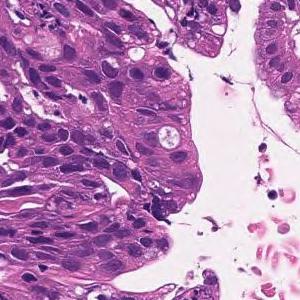
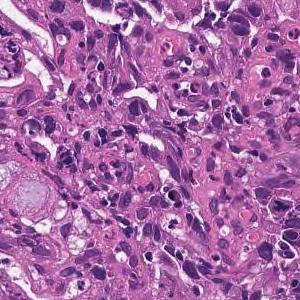
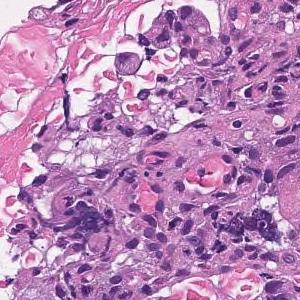
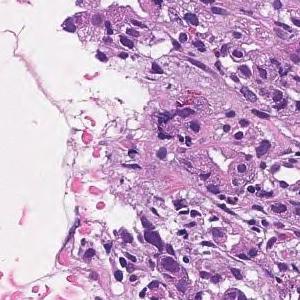
4 image tiles from a single gastric biopsy slide, H&E stain.
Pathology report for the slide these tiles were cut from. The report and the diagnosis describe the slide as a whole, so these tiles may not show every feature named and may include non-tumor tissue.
In the superficial epithelium, tumor tissue that invades by forming medium-sized to small, irregular ducts is observed. moderately differentiated tubular adenocarcinoma.
